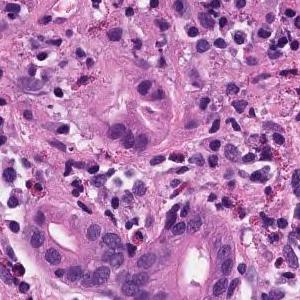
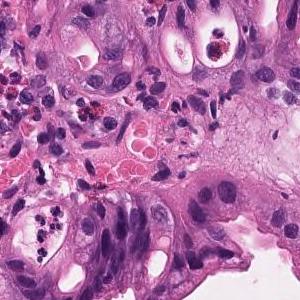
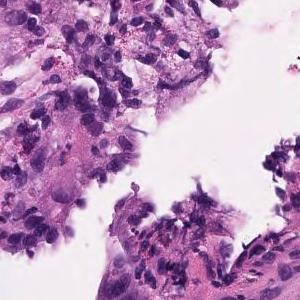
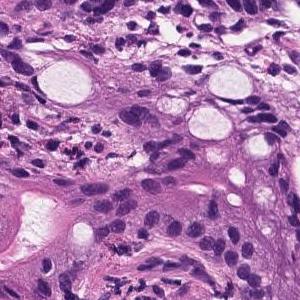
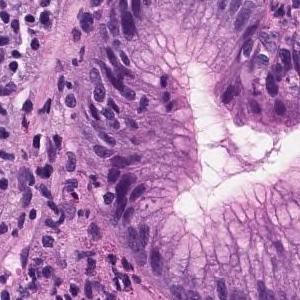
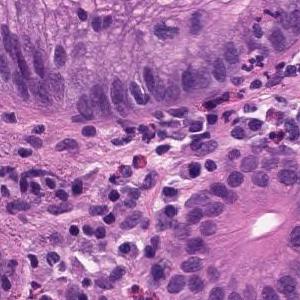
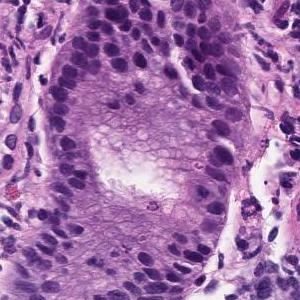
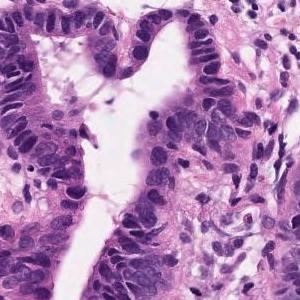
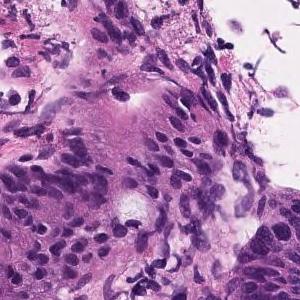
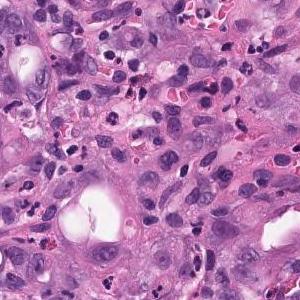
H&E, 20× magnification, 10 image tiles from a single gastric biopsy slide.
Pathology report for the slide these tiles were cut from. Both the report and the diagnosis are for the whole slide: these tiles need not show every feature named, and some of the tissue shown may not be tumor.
moderately differentiated tubular adenocarcinoma, Poorly differentiated adenocarcinoma
Labeled in the dataset as poorly differentiated adenocarcinoma, solid type (Japanese Classification of Gastric Carcinoma). The WHO 2019 equivalent is tubular adenocarcinoma, poorly differentiated.
